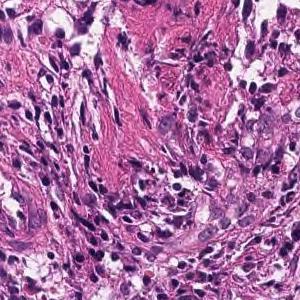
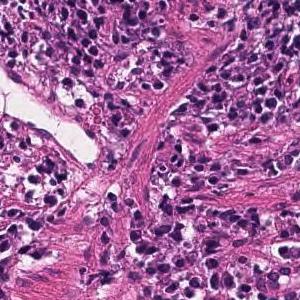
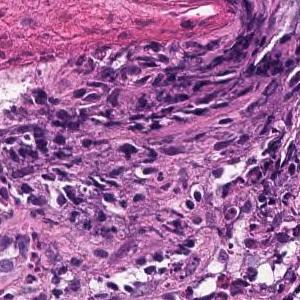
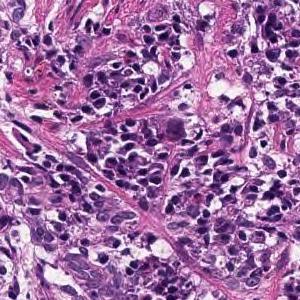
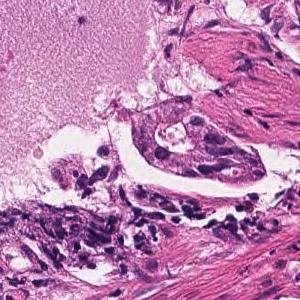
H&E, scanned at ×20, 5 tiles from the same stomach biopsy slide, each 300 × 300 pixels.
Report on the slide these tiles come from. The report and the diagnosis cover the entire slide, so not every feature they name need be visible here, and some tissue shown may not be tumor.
From the superficial epithelium to the muscularis mucosae, tumor tissue infiltrating by forming medium-sized irregular gland ducts is observed. Large tumor cells exhibit large nucleus and hyperchromatism. Well differentiated tubular adenocarcinoma
